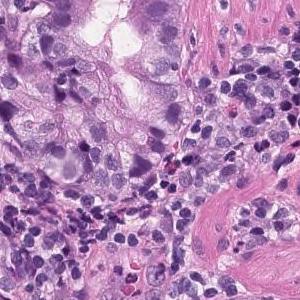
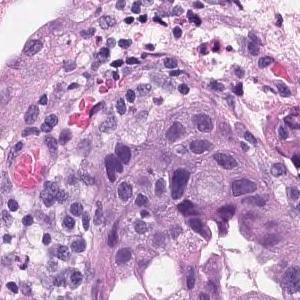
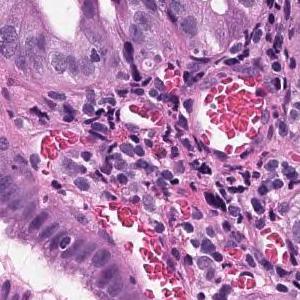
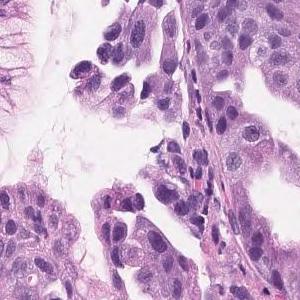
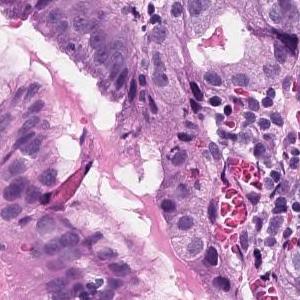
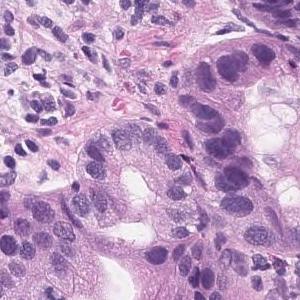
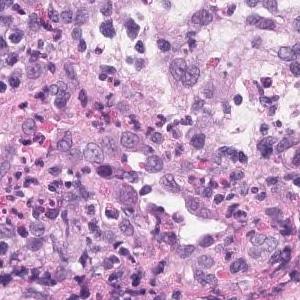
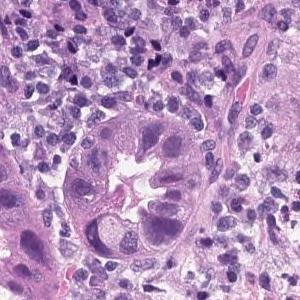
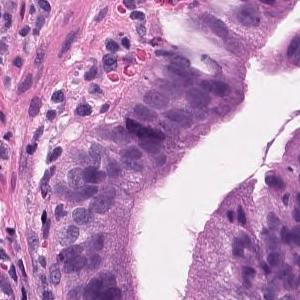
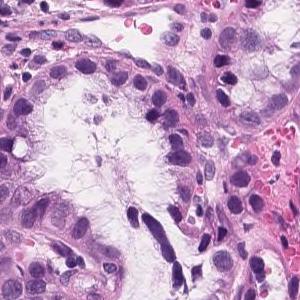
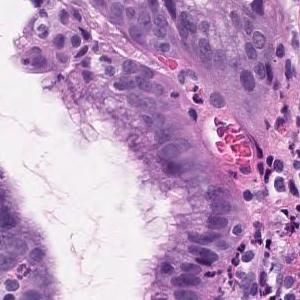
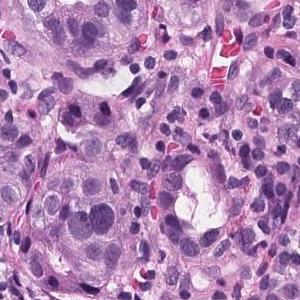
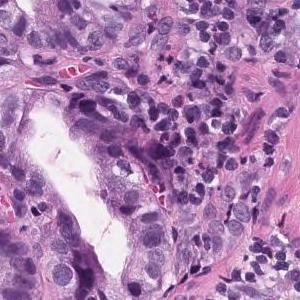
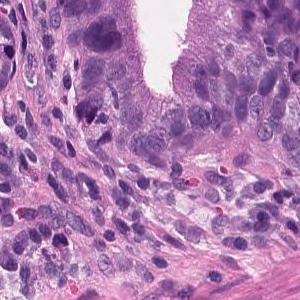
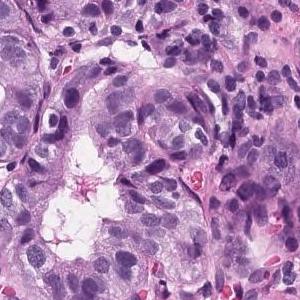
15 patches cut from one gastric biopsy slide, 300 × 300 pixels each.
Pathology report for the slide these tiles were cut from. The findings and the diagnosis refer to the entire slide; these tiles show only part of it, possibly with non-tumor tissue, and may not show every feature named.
Tumor tissue consisting of medium-sized and irregular ducts is observed infiltrating in the superficial epithelium. Tumor cells are highly columnar, with nuclei aligned basolaterally and polarized. Well differentiated tubular adenocarcinoma.
